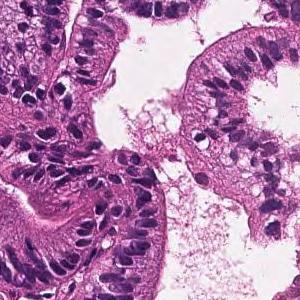
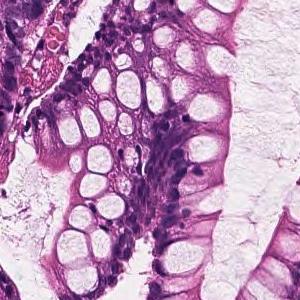
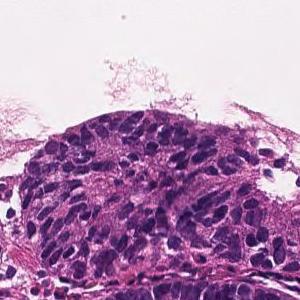
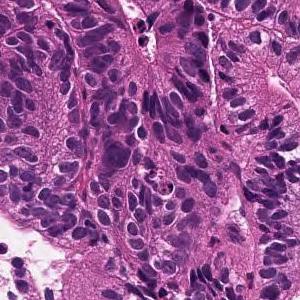
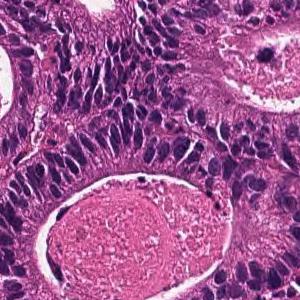
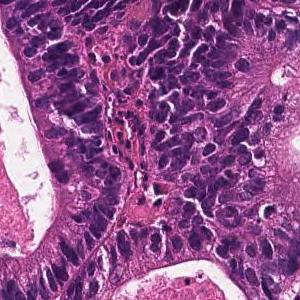
H&E, 20× magnification, 6 image tiles from a single gastric biopsy slide, 300 × 300 pixels each.
Pathology report for the biopsy slide these tiles were cut from. What the report and the diagnosis say applies to the whole slide; these tiles may miss some of the features named and may include tissue that is not tumor.
From the superficial epithelium to the muscularis mucosae, tumor tissue infiltrating by forming medium-sized irregular gland ducts is observed. Large tumor cells exhibit large nucleus and hyperchromatism. Well differentiated tubular adenocarcinoma
